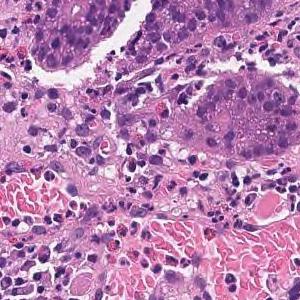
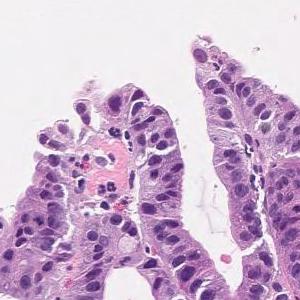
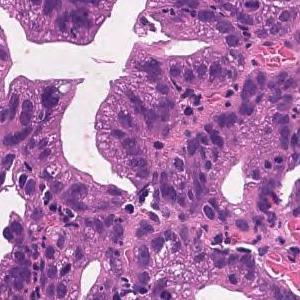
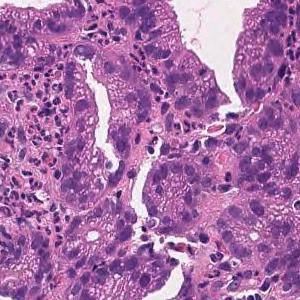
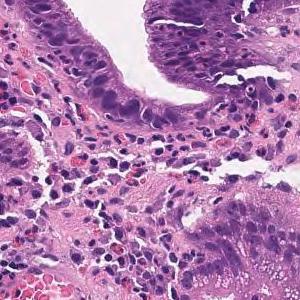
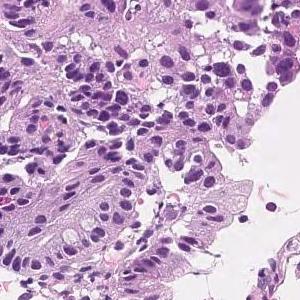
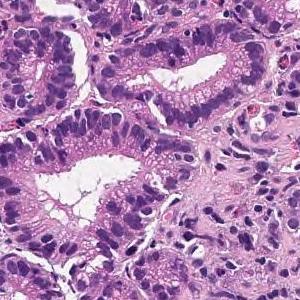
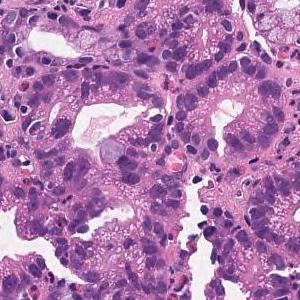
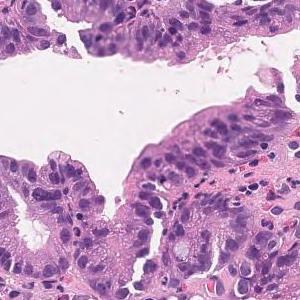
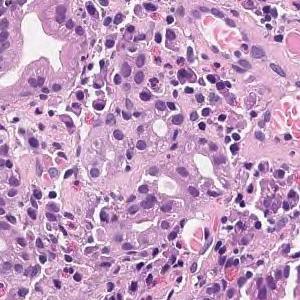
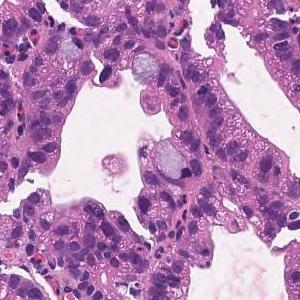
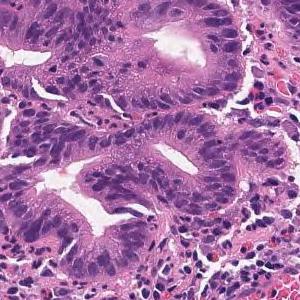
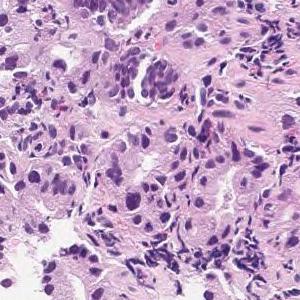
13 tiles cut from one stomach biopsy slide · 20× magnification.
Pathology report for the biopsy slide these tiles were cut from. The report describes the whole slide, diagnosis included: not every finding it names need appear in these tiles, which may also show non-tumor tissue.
On the superficial epithelium, tumor tissue that infiltrates by forming medium-sized papillary or small irregular ducts is observed. Papillary adenocarcinoma
